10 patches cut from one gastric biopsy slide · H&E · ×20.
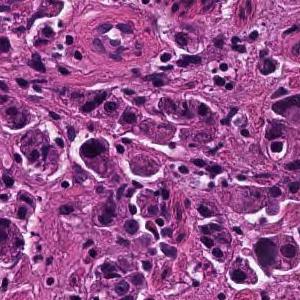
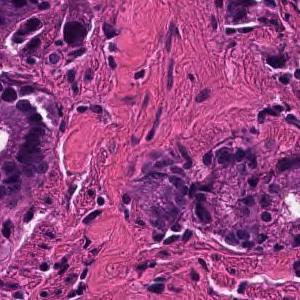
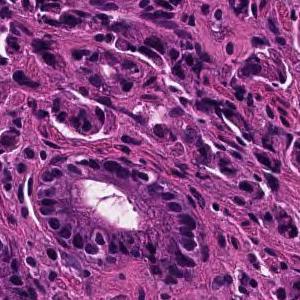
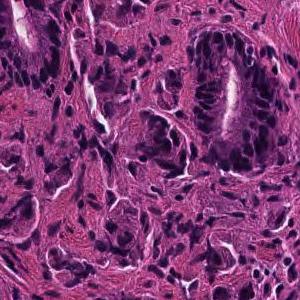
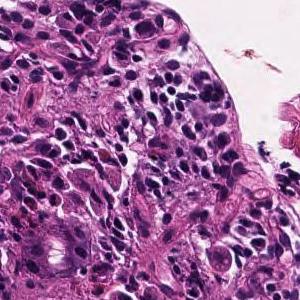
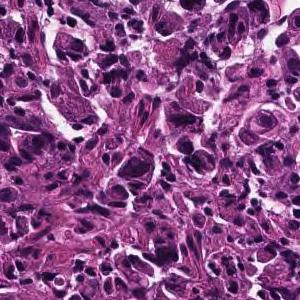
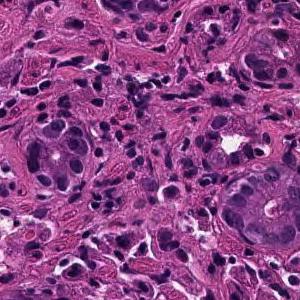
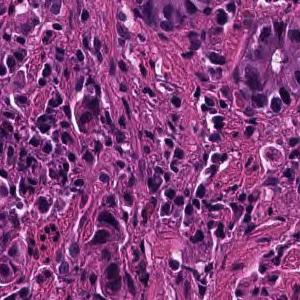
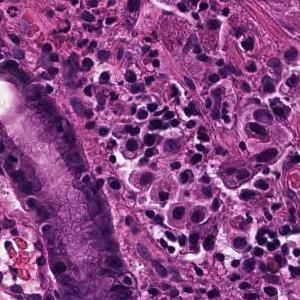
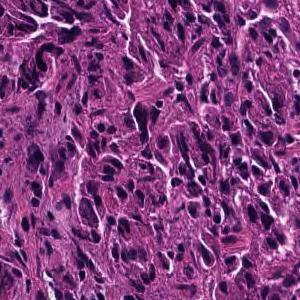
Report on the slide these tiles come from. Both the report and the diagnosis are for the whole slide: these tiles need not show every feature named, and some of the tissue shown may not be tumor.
Tumor tissue consisting of cord-like or small, irregular glandular ducts fused and infiltrated is observed in the superficial epithelium. Poorly differentiated adenocarcinoma, non-solid type
The term "non-solid type" comes from the Japanese Classification of Gastric Carcinoma.
